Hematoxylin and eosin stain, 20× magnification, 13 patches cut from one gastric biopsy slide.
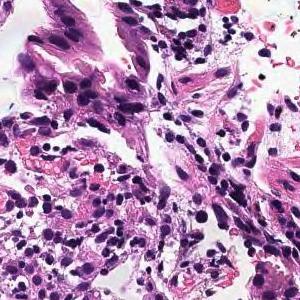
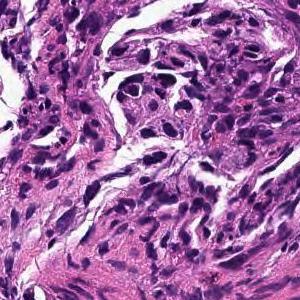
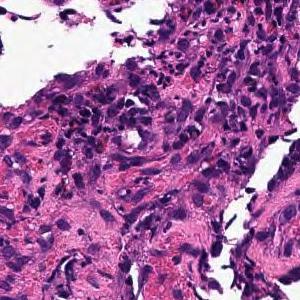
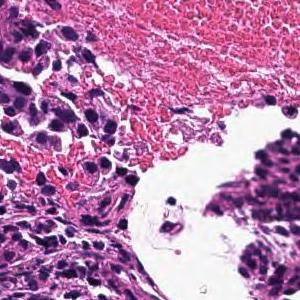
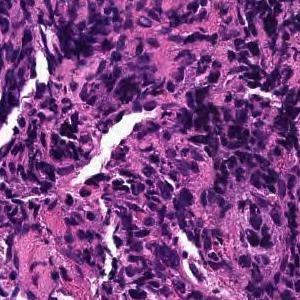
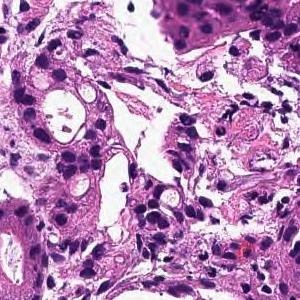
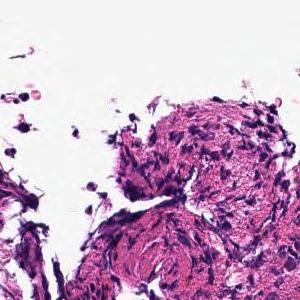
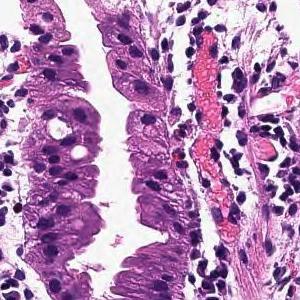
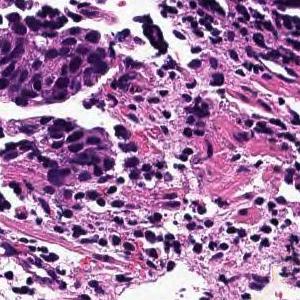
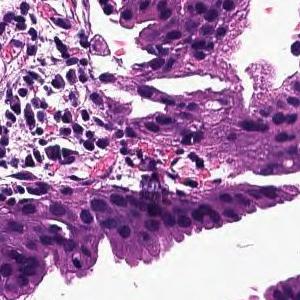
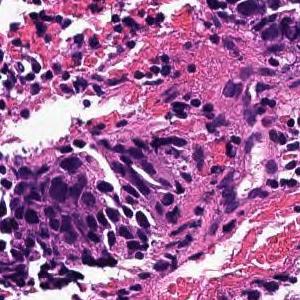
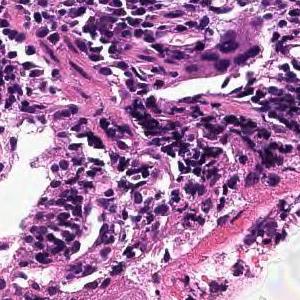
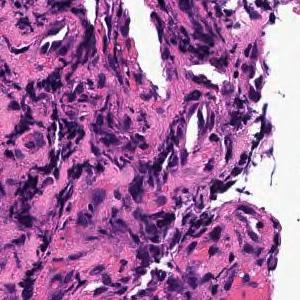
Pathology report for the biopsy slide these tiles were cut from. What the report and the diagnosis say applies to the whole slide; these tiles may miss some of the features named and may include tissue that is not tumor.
In the superficial epithelium, tumor tissue that invades by forming medium-sized to small, irregular ducts is observed. moderately differentiated tubular adenocarcinoma.
